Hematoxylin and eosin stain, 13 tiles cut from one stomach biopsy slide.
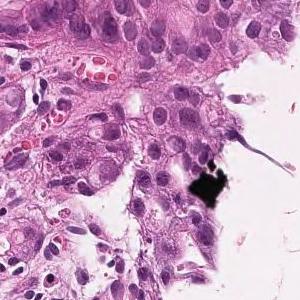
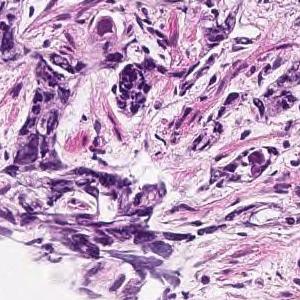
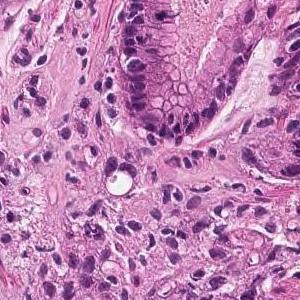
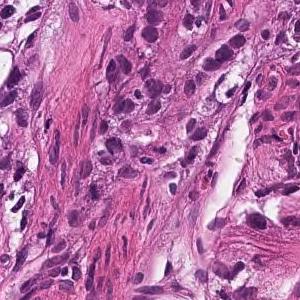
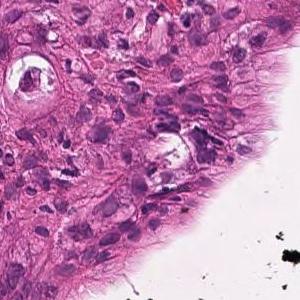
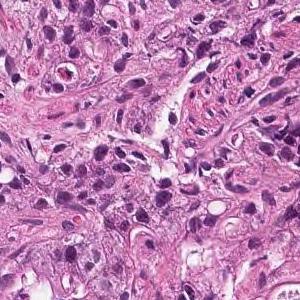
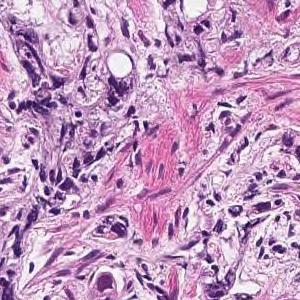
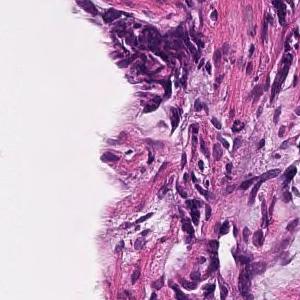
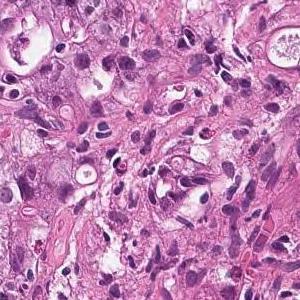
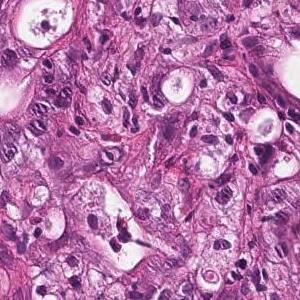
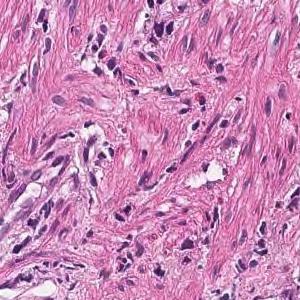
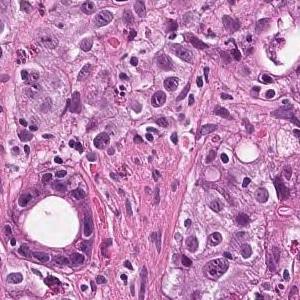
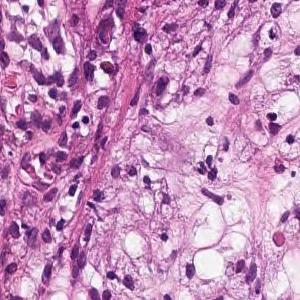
Diagnostic report for the slide these tiles come from. The findings and the diagnosis refer to the entire slide; these tiles show only part of it, possibly with non-tumor tissue, and may not show every feature named.
In the gastric mucosal tissue, tumor tissue that forms irregular glandular cavities of medium to small size or shows small cords and infiltrates is observed. moderately differentiated tubular adenocarcinoma
